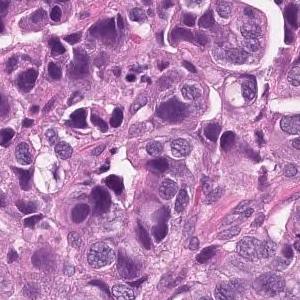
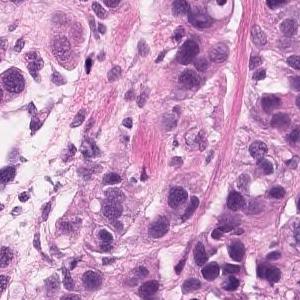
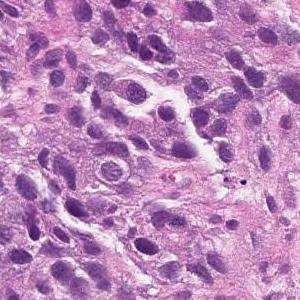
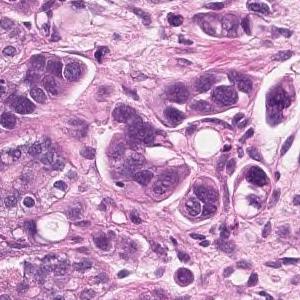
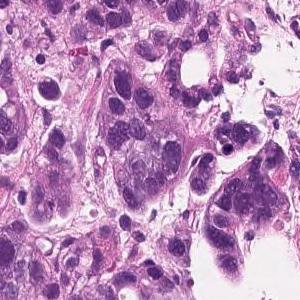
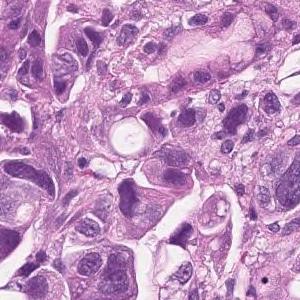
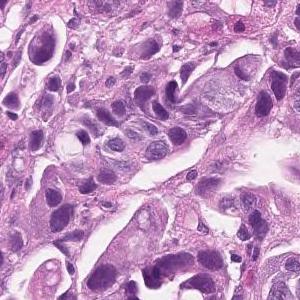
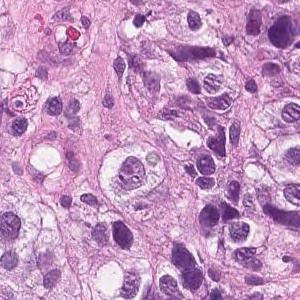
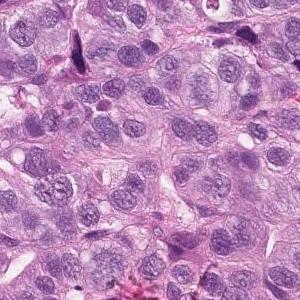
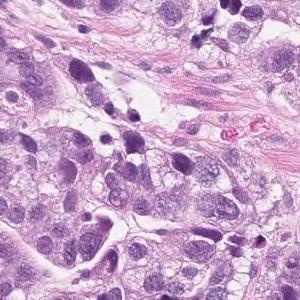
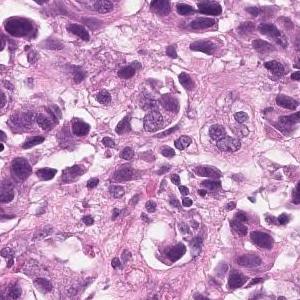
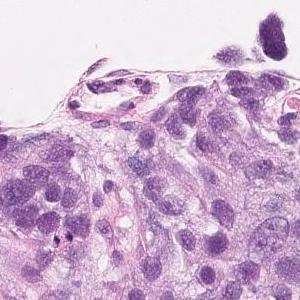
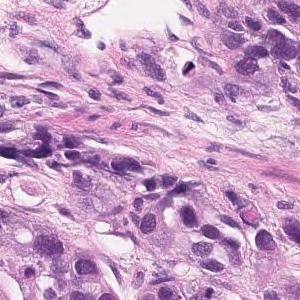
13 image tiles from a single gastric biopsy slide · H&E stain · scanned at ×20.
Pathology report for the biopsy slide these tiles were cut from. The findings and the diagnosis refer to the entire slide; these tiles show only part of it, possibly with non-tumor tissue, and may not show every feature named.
Tumor tissue that infiltrates the epithelium in an alveolar manner. Poorly differentiated adenocarcinoma, solid-type
Tumor subtype: poorly differentiated adenocarcinoma, solid type. This name comes from the Japanese Classification of Gastric Carcinoma; the WHO 2019 classification calls it tubular adenocarcinoma, poorly differentiated.
